16 tiles cut from one stomach biopsy slide; 300×300 px each; hematoxylin and eosin stain; scanned at ×20.
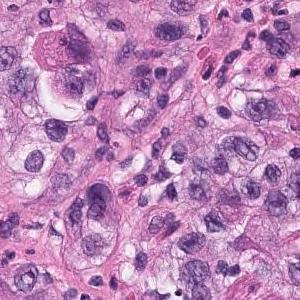
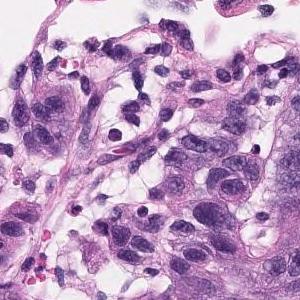
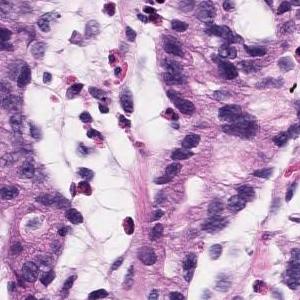
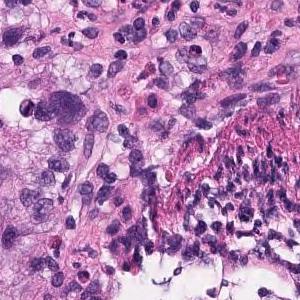
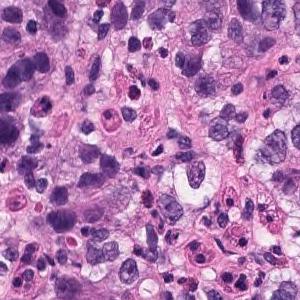
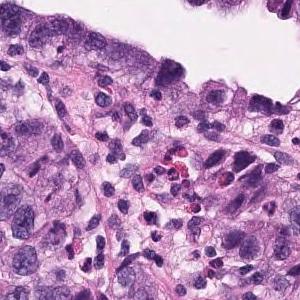
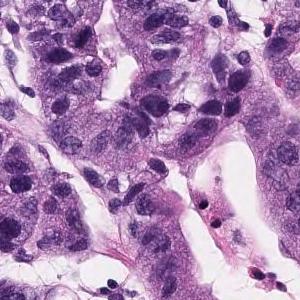
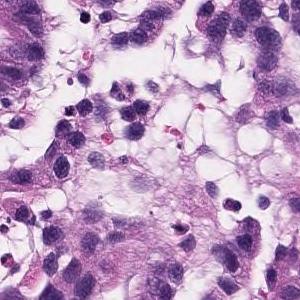
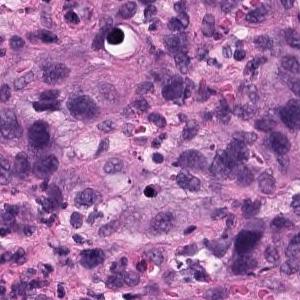
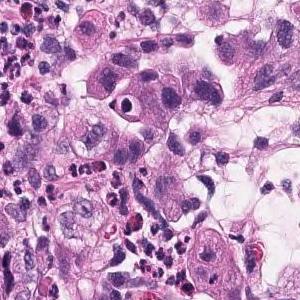
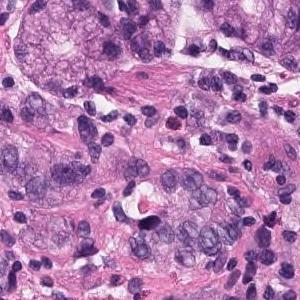
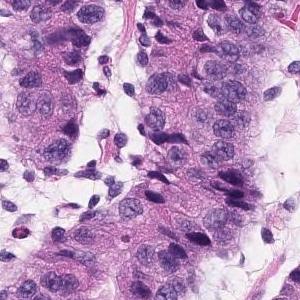
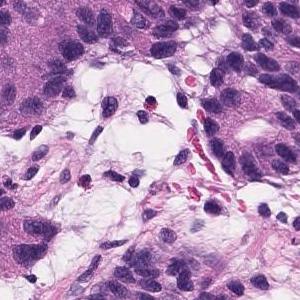
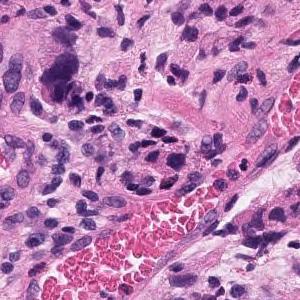
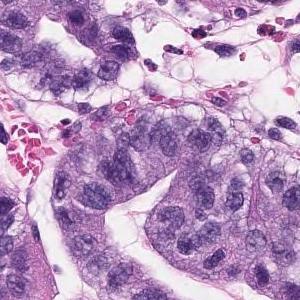
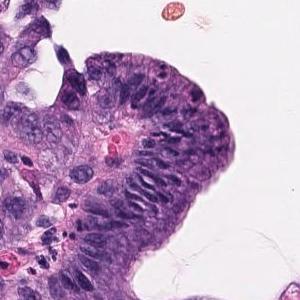
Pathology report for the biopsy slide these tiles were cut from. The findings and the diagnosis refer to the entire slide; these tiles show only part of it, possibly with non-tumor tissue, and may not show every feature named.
Atypical l cells with atypical nuclei forming diffuse or small irregular atypical ducts and growing. Moderately to poorly differentiated adenocarcinoma (poorly differentiated adenocarcinoma, solid type, moderately differentiated tubular adenocarcinoma)
Tumor subtype: moderately to poorly differentiated adenocarcinoma.
"Solid type" is a category of the Japanese Classification of Gastric Carcinoma; in the WHO 2019 classification it is tubular adenocarcinoma, poorly differentiated.
